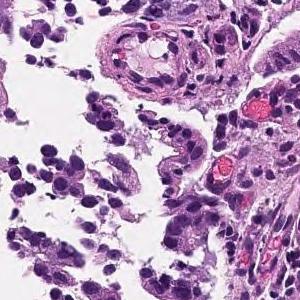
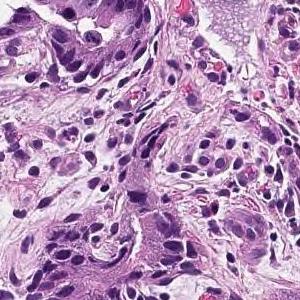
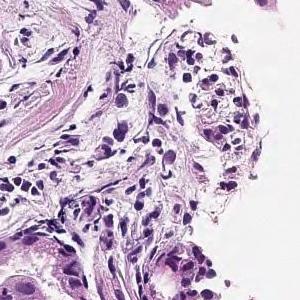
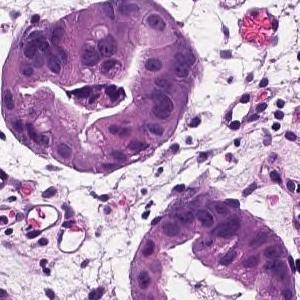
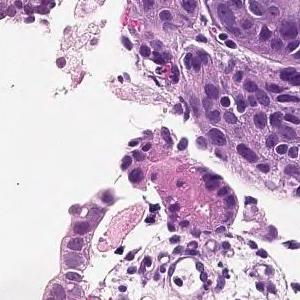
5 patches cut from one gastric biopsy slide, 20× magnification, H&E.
Diagnostic report for the slide these tiles come from. The findings and the diagnosis refer to the entire slide; these tiles show only part of it, possibly with non-tumor tissue, and may not show every feature named.
On the superficial epithelium, tumor tissue that infiltrates by forming medium-sized papillary or small irregular ducts is observed. Papillary adenocarcinoma
